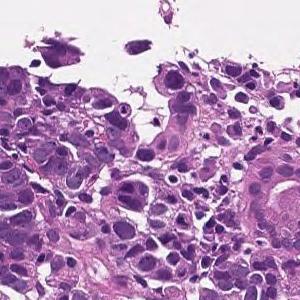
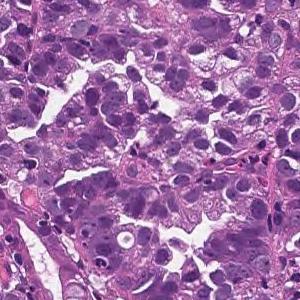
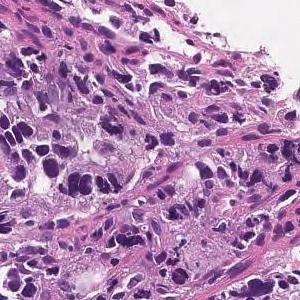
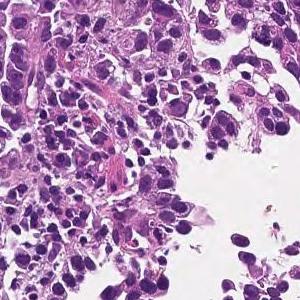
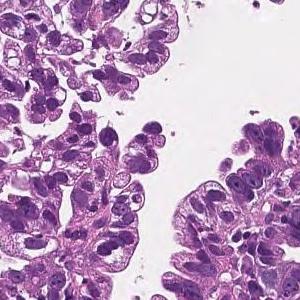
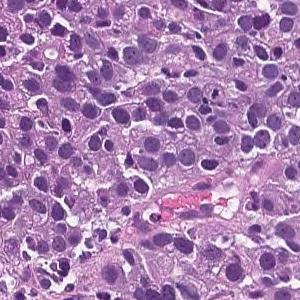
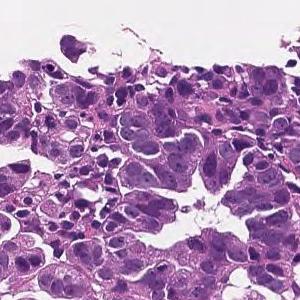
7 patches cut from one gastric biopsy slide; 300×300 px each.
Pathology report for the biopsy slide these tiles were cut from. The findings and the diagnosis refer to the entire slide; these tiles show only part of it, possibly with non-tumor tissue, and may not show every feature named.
The superficial epithelium shows a large sheet-like shape, and some tumor tissue infiltrates with small irregular ducts. Poorly differentiated adenocarcinoma, solid-type
Subtype: Poorly differentiated adenocarcinoma, solid type (Japanese Classification of Gastric Carcinoma). The WHO 2019 equivalent is tubular adenocarcinoma, poorly differentiated.
